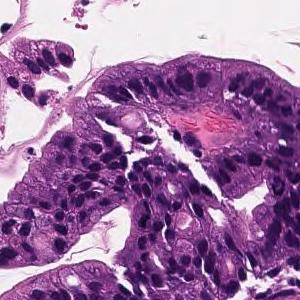
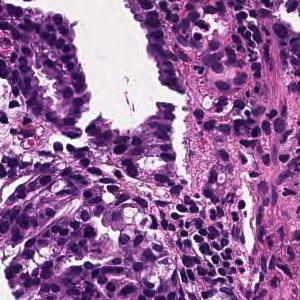
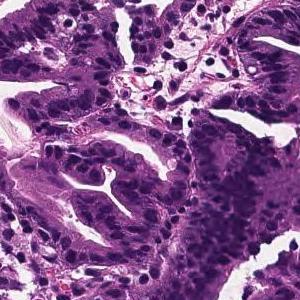
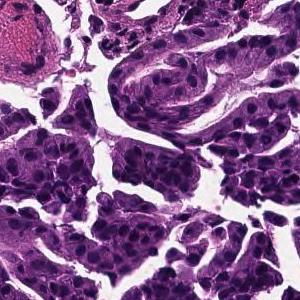
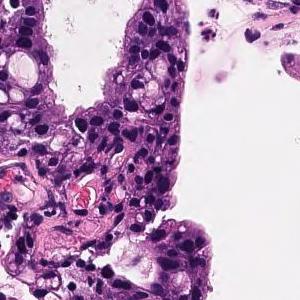
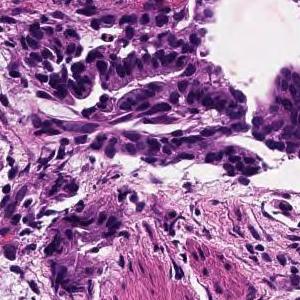
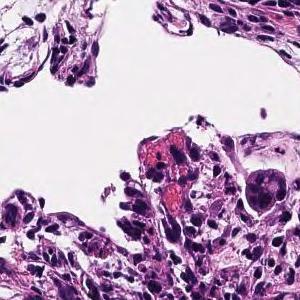
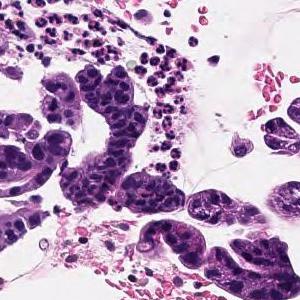
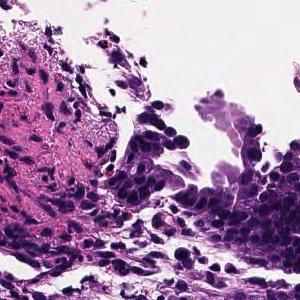
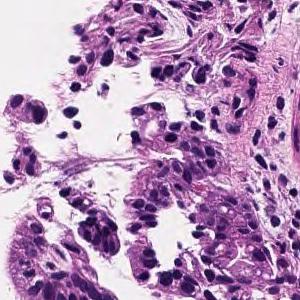
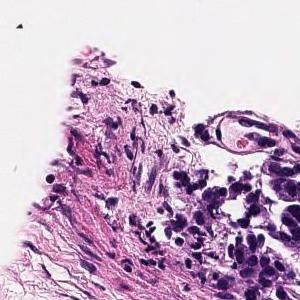
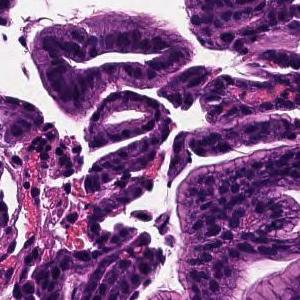
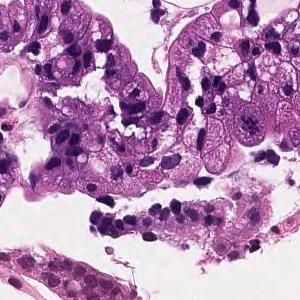
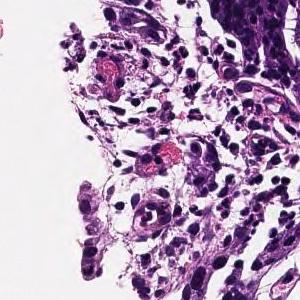
H&E · ×20 · 14 tiles from the same stomach biopsy slide · 300 × 300 pixels each.
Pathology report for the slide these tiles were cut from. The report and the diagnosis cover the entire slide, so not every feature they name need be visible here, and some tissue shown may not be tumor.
On the superficial epithelium, tumor tissue that infiltrates by forming medium-sized papillary or small irregular ducts is observed. Papillary adenocarcinoma
